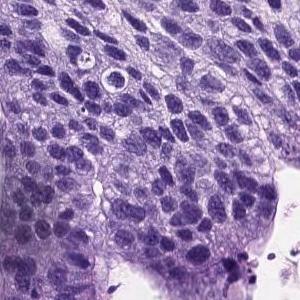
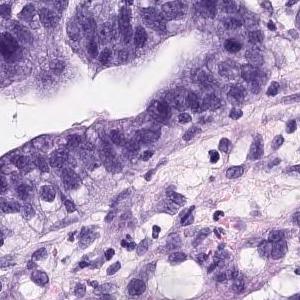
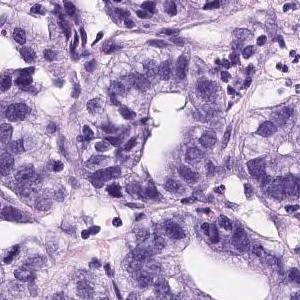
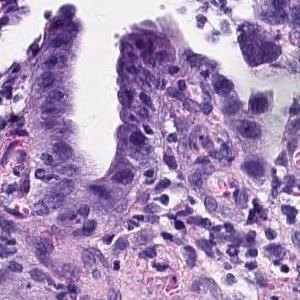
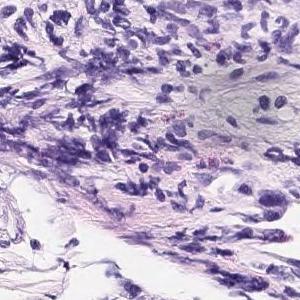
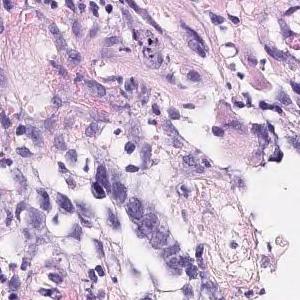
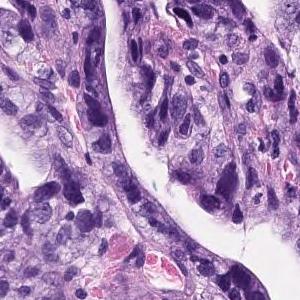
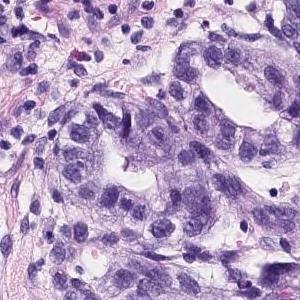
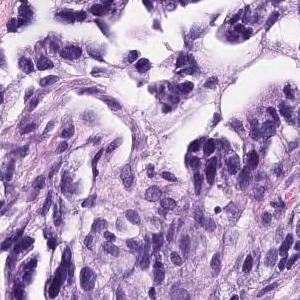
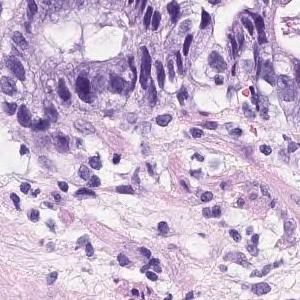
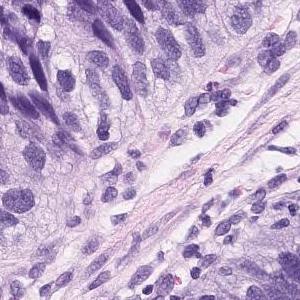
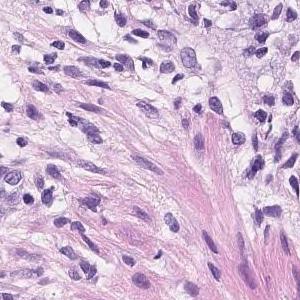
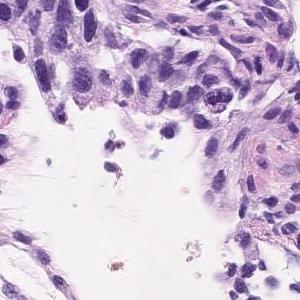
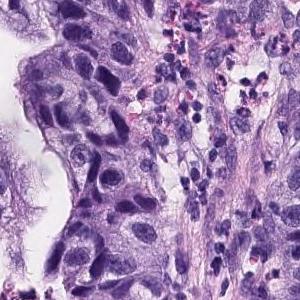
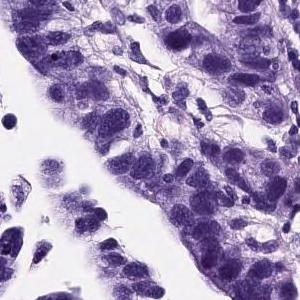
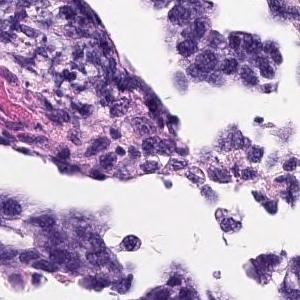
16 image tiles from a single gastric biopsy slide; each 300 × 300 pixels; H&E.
Diagnostic report for the slide these tiles come from. The report describes the whole slide, diagnosis included: not every finding it names need appear in these tiles, which may also show non-tumor tissue.
On the superficial epithelium, tumor tissue consisting of medium to small irregular tubules partially fused and proliferated is observed. moderately differentiated tubular adenocarcinoma
